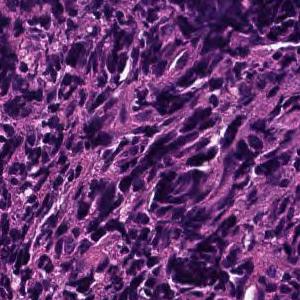
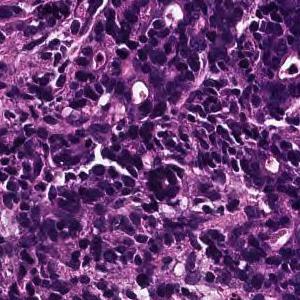
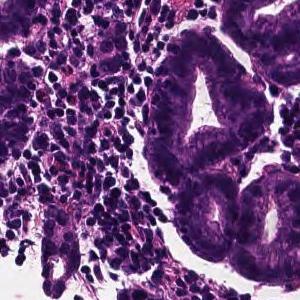
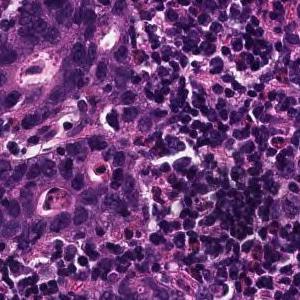
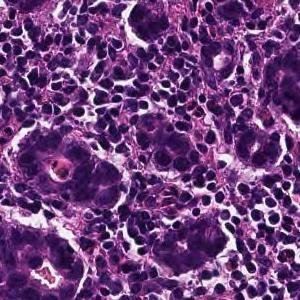
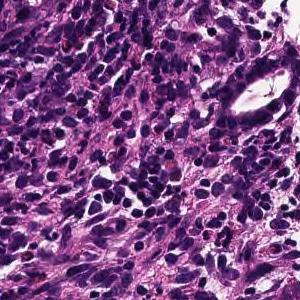
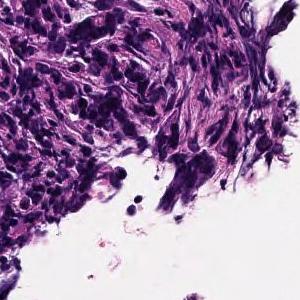
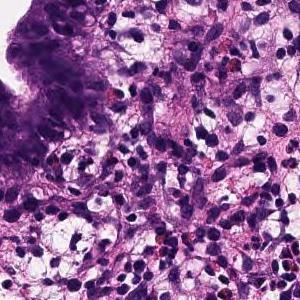
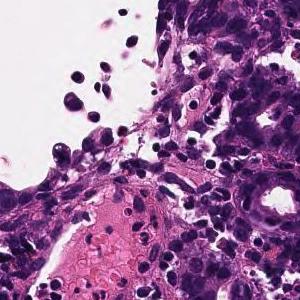
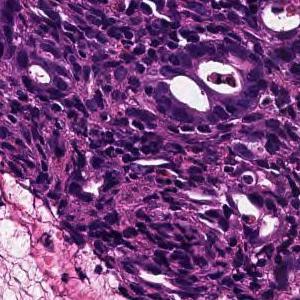
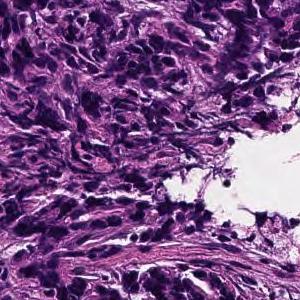
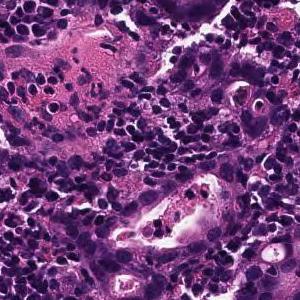
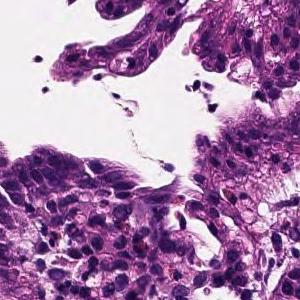
13 tiles from the same stomach biopsy slide; each 300 × 300 pixels; scanned at ×20.
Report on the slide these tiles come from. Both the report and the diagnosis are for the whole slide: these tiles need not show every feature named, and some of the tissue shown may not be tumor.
On the superficial epithelium, tumor tissue is found in which medium-sized irregular gland ducts fuse with each other and infiltrate. moderately differentiated tubular adenocarcinoma or Poorly differentiated adenocarcinoma, non-solid type
Classified as moderately to poorly differentiated adenocarcinoma.
The term "non-solid type" comes from the Japanese Classification of Gastric Carcinoma.
